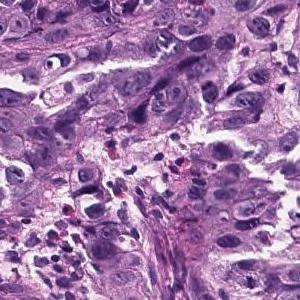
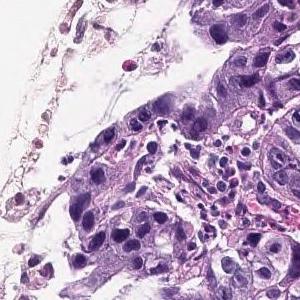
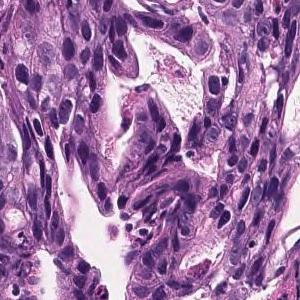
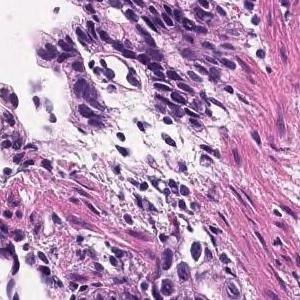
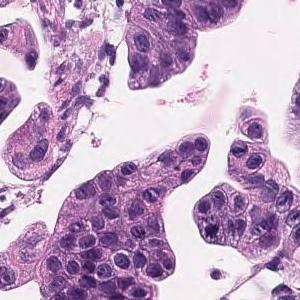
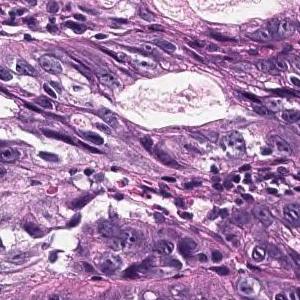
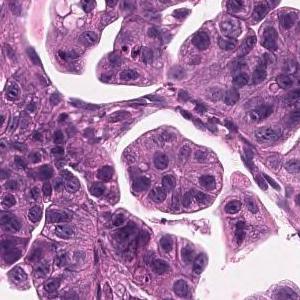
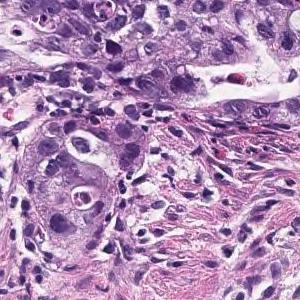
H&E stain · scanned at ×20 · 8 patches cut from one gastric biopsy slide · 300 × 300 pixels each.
The pathologist's report on the biopsy slide these tiles were taken from. The report describes the whole slide, diagnosis included: not every finding it names need appear in these tiles, which may also show non-tumor tissue.
Tumor cells are large, highly columnar, large club-shaped nuclei, and are associated with chromatin aggregation. Papillary adenocarcinoma.
